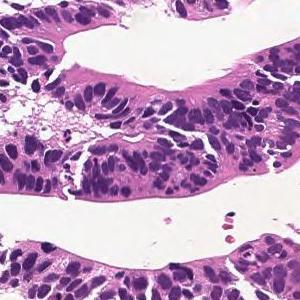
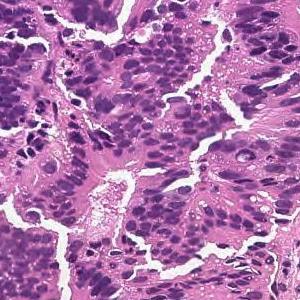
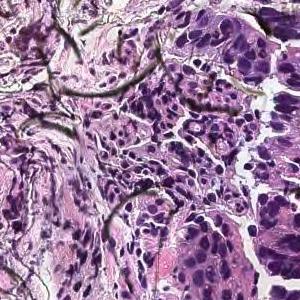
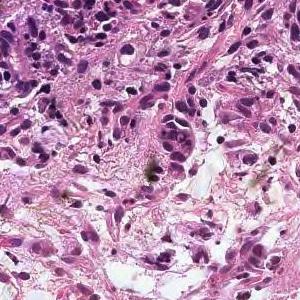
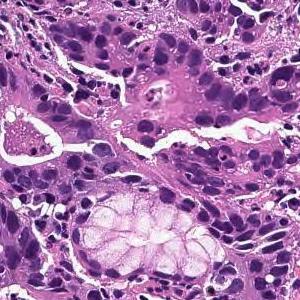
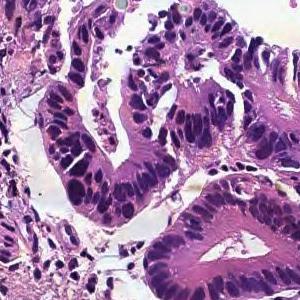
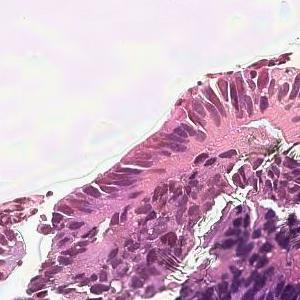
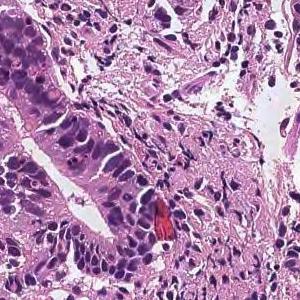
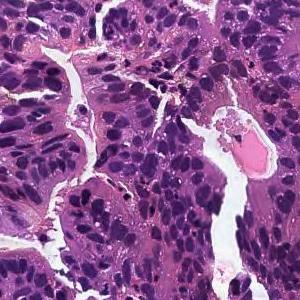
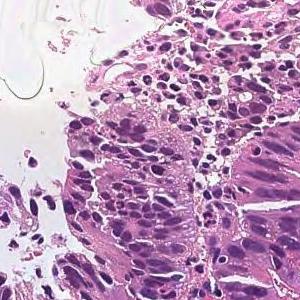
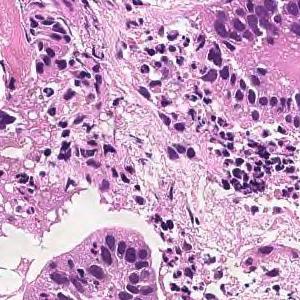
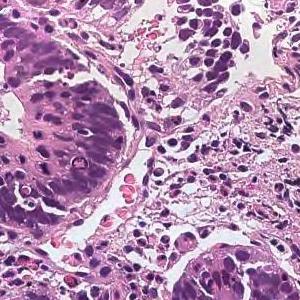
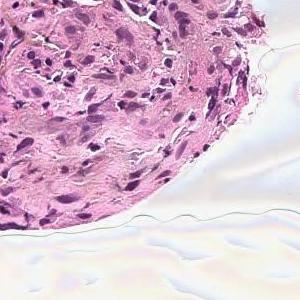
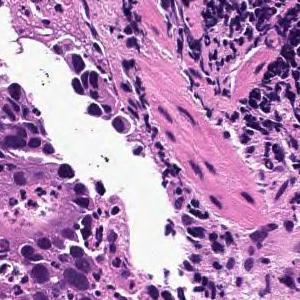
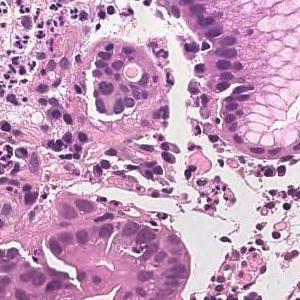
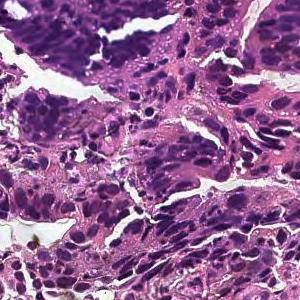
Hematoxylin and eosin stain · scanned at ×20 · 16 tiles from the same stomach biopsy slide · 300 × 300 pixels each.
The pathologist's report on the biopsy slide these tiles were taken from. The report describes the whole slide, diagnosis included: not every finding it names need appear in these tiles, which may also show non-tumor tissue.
On the superficial epithelium, tumor tissue consisting of large irregular glandular ducts partially fused and infiltrated is observed. Well to moderately differentiated tubular adenocarcinoma (well differentiated tubular adenocarcinoma, moderately differentiated tubular adenocarcinoma)
Histologic type: Well to moderately differentiated tubular adenocarcinoma.
